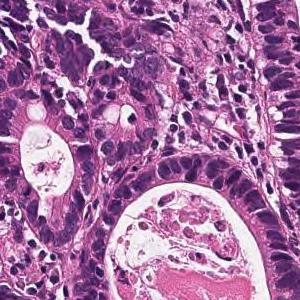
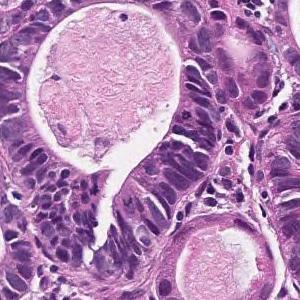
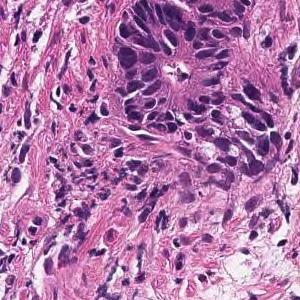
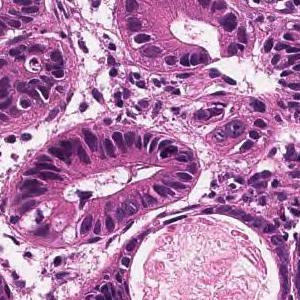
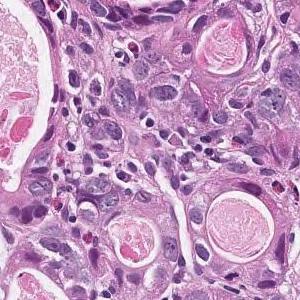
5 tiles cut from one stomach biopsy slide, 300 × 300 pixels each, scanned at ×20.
Diagnostic report for the slide these tiles come from. Both the report and the diagnosis are for the whole slide: these tiles need not show every feature named, and some of the tissue shown may not be tumor.
In the superficial epithelium, tumor tissue that invades by forming medium-sized to small, irregular ducts is observed. Well differentiated tubular adenocarcinoma.
